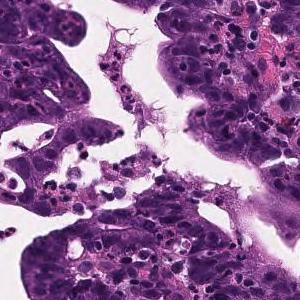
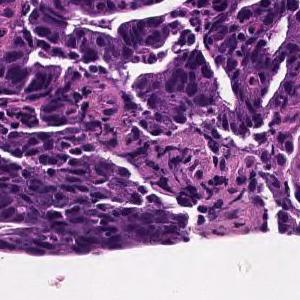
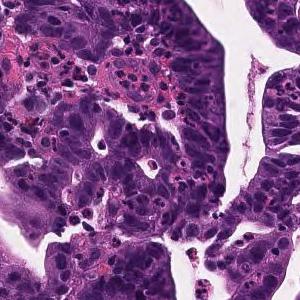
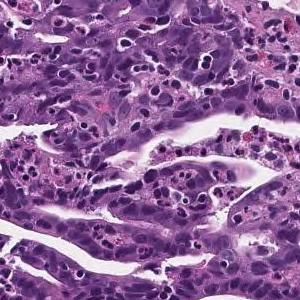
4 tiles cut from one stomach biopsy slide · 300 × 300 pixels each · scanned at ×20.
Report on the slide these tiles come from. Both the report and the diagnosis are for the whole slide: these tiles need not show every feature named, and some of the tissue shown may not be tumor.
Tumor cells are large, highly columnar, large club-shaped nuclei, and are associated with chromatin aggregation. Papillary adenocarcinoma.
